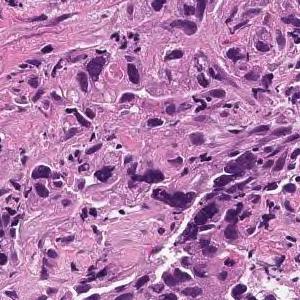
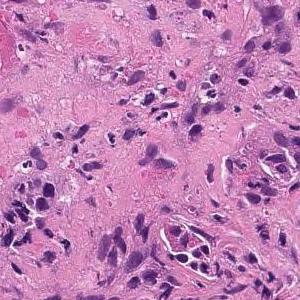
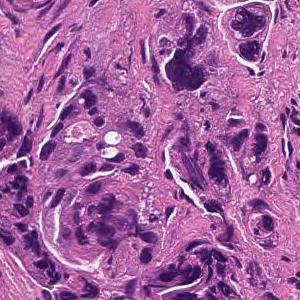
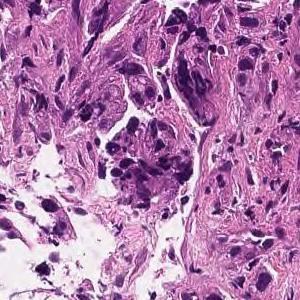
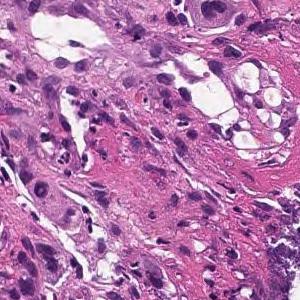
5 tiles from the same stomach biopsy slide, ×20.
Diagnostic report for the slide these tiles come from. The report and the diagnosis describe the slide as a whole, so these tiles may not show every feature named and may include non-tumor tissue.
Tumor tissue consisting of cord-like or small, irregular glandular ducts fused and infiltrated is observed in the superficial epithelium. Poorly differentiated adenocarcinoma, non-solid type
The non-solid type named here is a Japanese Classification of Gastric Carcinoma category.
